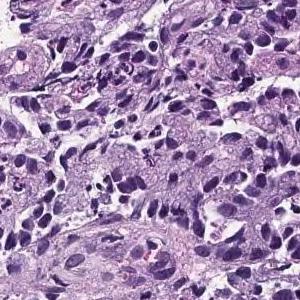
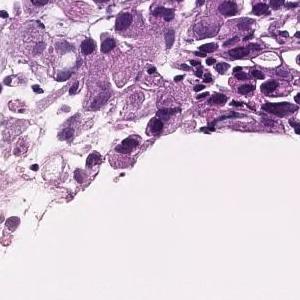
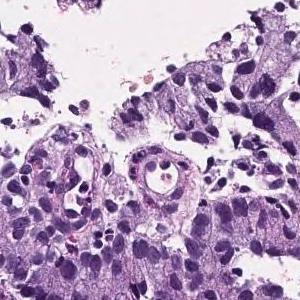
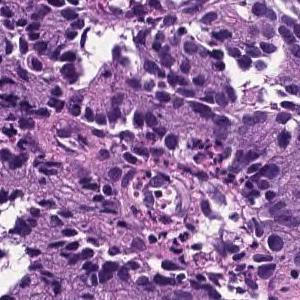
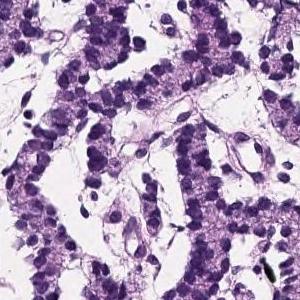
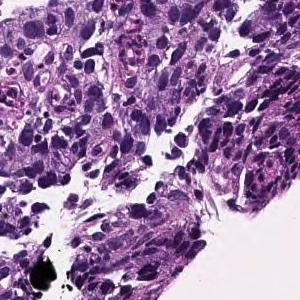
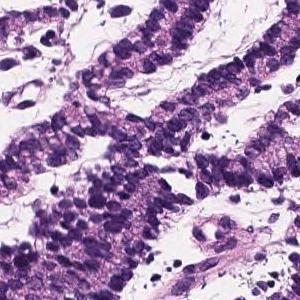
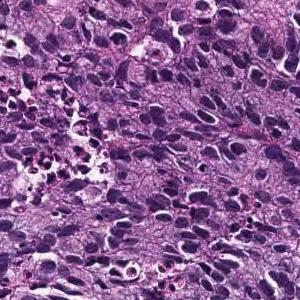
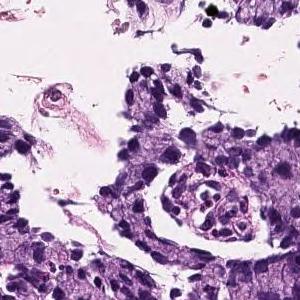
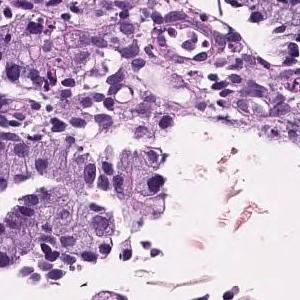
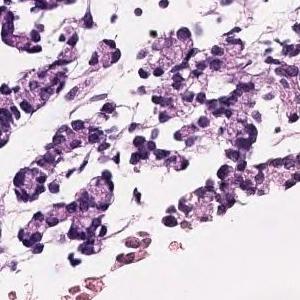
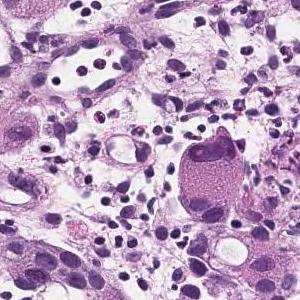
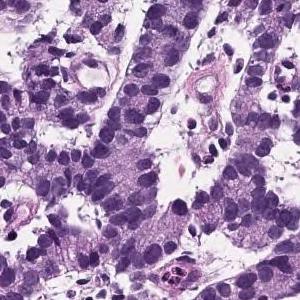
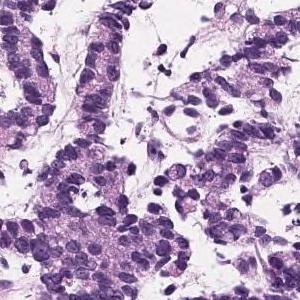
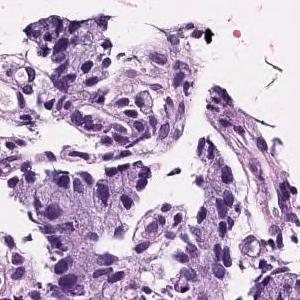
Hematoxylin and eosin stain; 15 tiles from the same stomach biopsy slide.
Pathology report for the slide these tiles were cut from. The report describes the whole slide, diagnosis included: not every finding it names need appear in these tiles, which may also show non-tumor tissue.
Tumor tissue infiltrated by irregular fusion of small cord-like structures is found in the superficial epithelium. Poorly differentiated adenocarcinoma, non-solid type
The non-solid type named here is a Japanese Classification of Gastric Carcinoma category.
